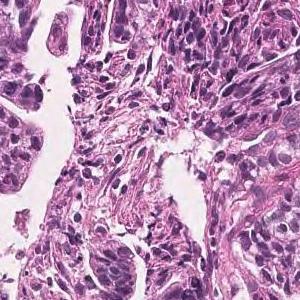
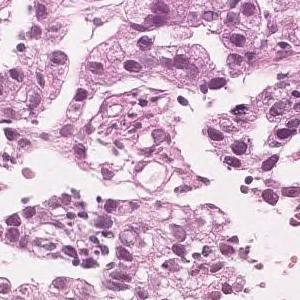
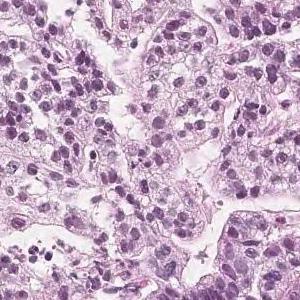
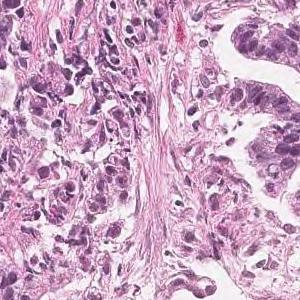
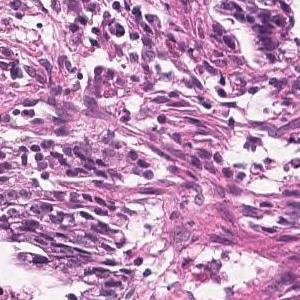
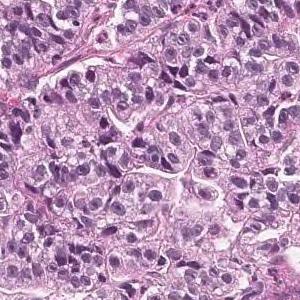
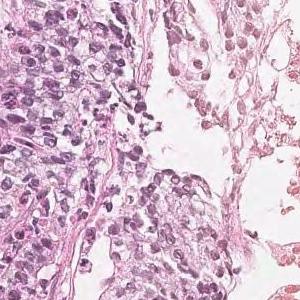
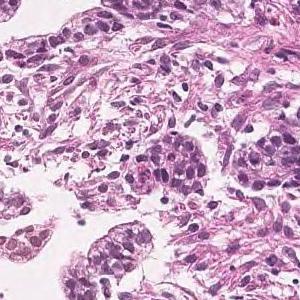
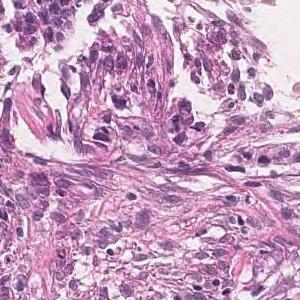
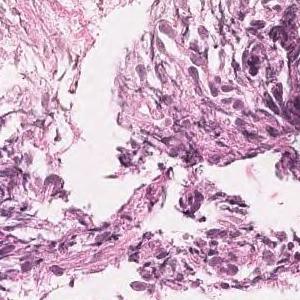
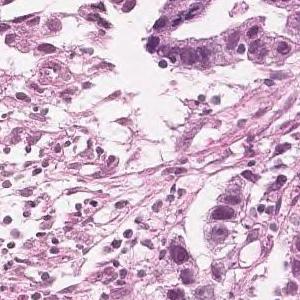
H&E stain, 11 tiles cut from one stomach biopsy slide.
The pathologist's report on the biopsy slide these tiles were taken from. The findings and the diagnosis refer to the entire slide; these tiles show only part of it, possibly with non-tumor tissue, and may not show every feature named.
Tumor tissue in which highly columnar atypical epithelial cells with nuclear enlargement and increased nuclear chromatin show papillary to papillary ductal structure and proliferate is observed. Papillary adenocarcinoma.
